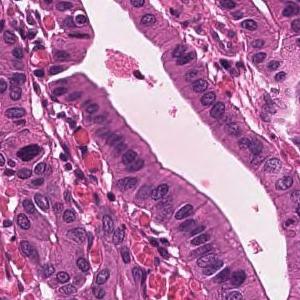
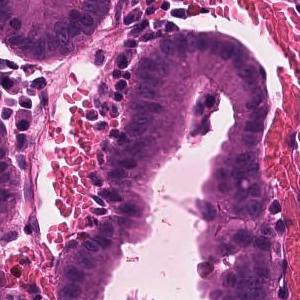
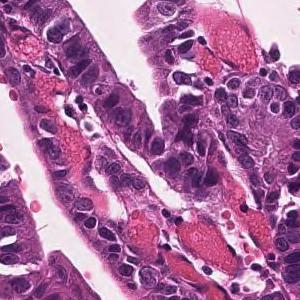
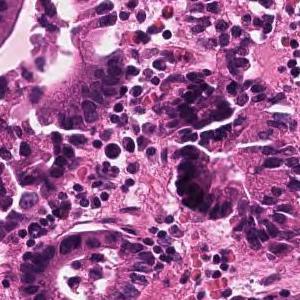
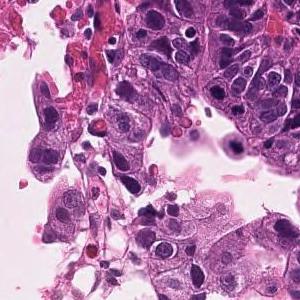
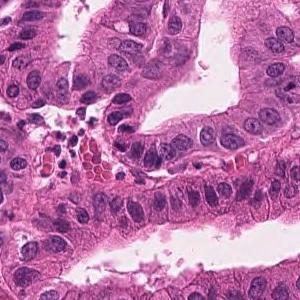
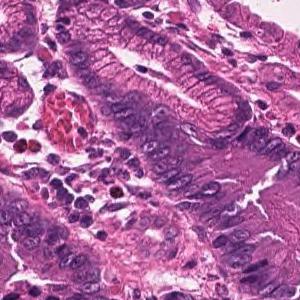
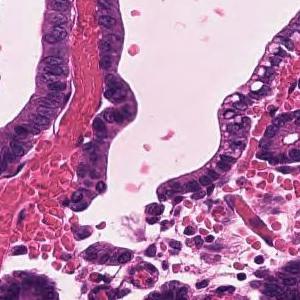
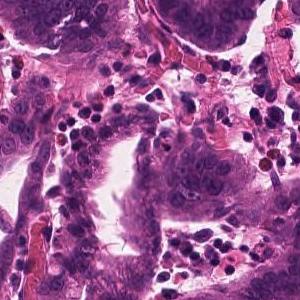
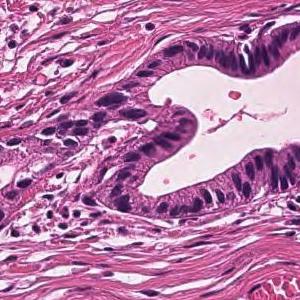
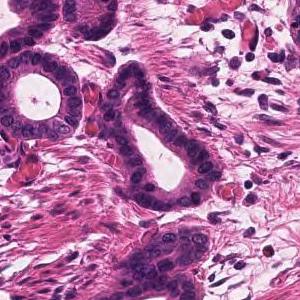
11 tiles cut from one stomach biopsy slide, each 300 × 300 pixels, hematoxylin and eosin stain, 20× magnification.
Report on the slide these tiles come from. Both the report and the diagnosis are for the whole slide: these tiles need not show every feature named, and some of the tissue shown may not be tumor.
Infiltrating tumor tissue with medium-sized, irregular ductal structure or large papillary appearance is observed. Well differentiated tubular adenocarcinoma
